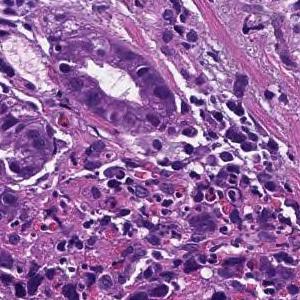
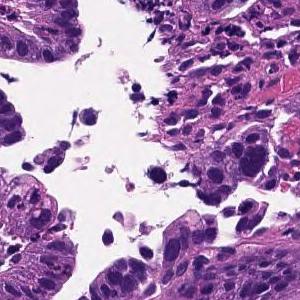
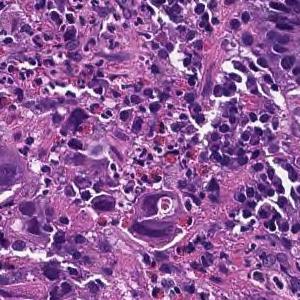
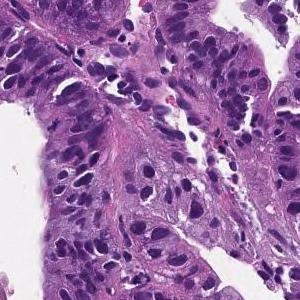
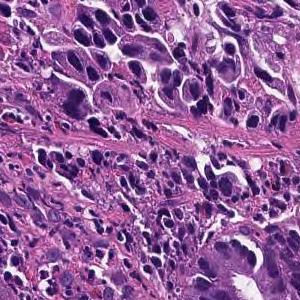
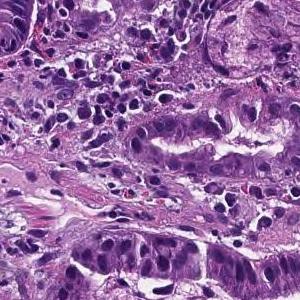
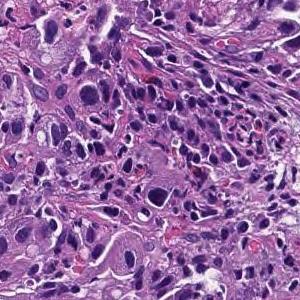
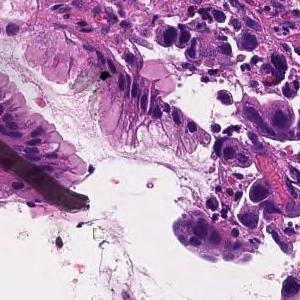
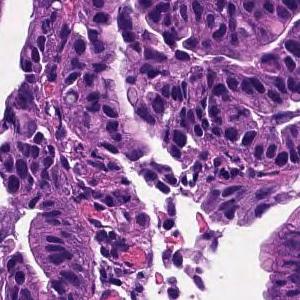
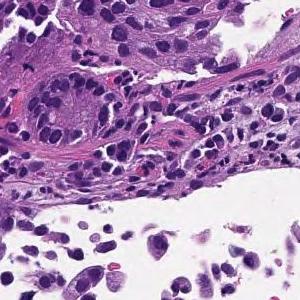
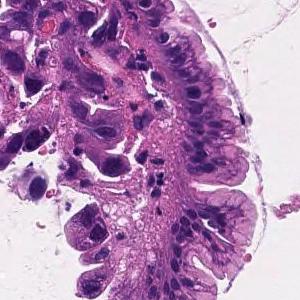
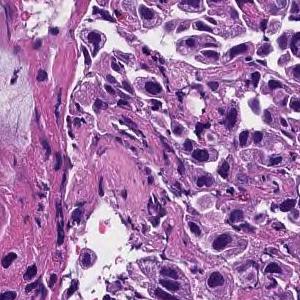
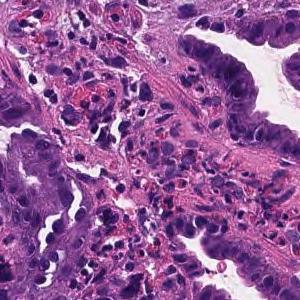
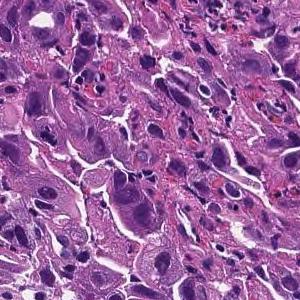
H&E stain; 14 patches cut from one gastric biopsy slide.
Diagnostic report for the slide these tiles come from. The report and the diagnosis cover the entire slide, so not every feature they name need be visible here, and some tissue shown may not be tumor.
Tumor tissue consisting of medium-sized, cord-like or irregular glandular infiltration is observed in the superficial epithelium. Poorly differentiated adenocarcinoma, non-solid type or moderately differentiated tubular adenocarcinoma
Tumor subtype: moderately to poorly differentiated adenocarcinoma.
The term "non-solid type" comes from the Japanese Classification of Gastric Carcinoma.
